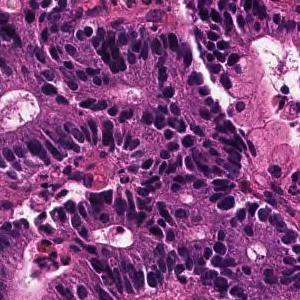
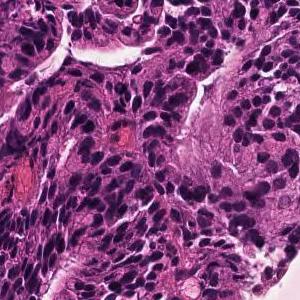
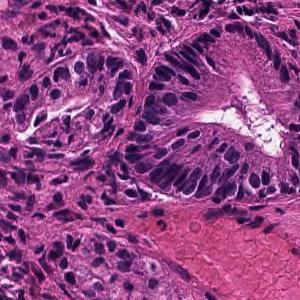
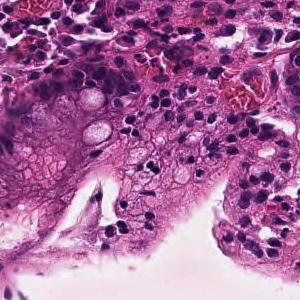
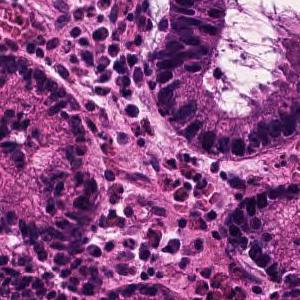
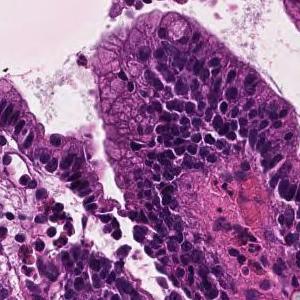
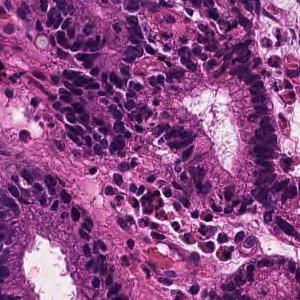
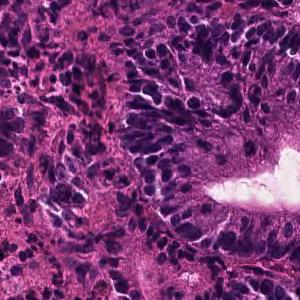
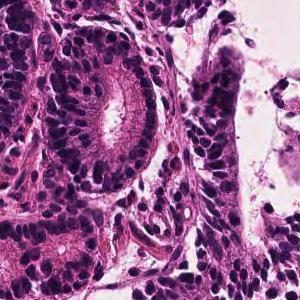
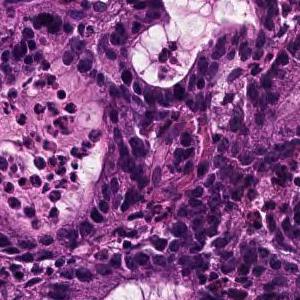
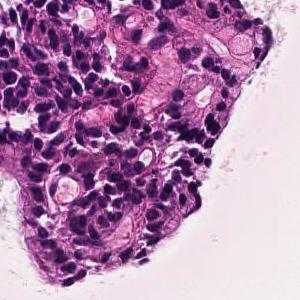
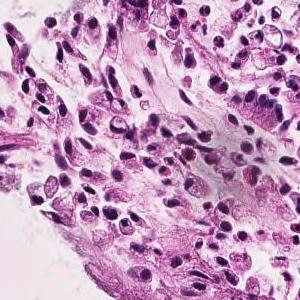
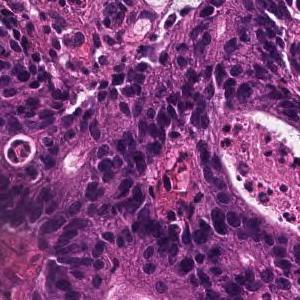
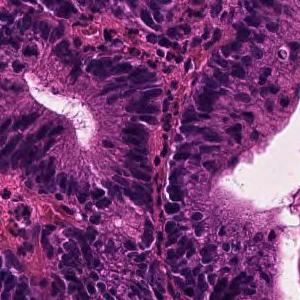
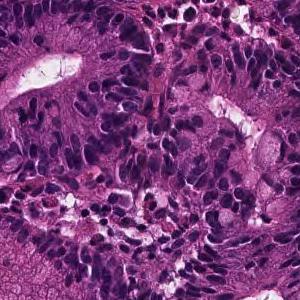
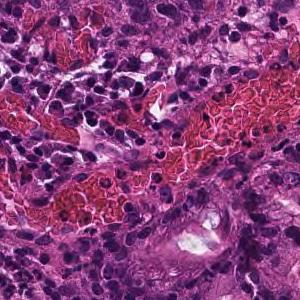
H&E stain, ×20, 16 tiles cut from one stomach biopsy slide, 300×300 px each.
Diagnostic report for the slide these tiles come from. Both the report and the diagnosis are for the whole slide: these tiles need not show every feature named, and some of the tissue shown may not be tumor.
In the superficial epithelium, tumor tissue that invades by forming medium-sized to small, irregular ducts is observed. moderately differentiated tubular adenocarcinoma.
